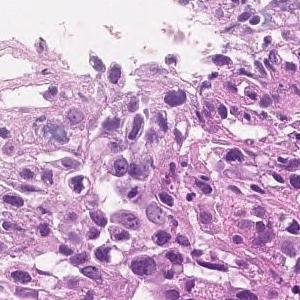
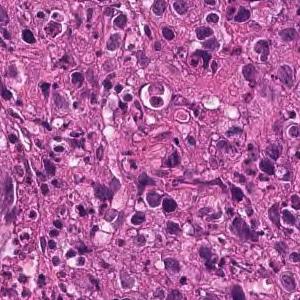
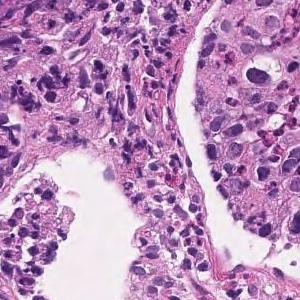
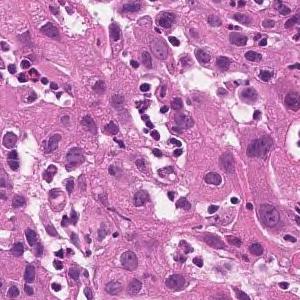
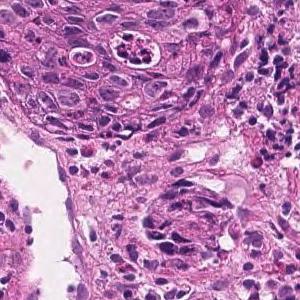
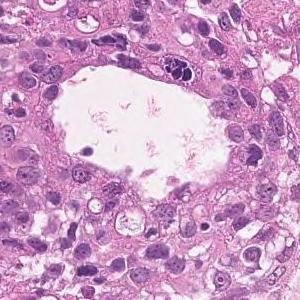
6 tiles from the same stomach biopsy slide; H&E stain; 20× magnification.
Pathology report for the slide these tiles were cut from. The report and the diagnosis cover the entire slide, so not every feature they name need be visible here, and some tissue shown may not be tumor.
The superficial epithelium shows a large sheet-like shape, and some tumor tissue infiltrates with small irregular ducts. Poorly differentiated adenocarcinoma, solid-type
Histologic type: Poorly differentiated adenocarcinoma, solid type, a category of the Japanese Classification of Gastric Carcinoma; in the WHO 2019 classification it is tubular adenocarcinoma, poorly differentiated.
